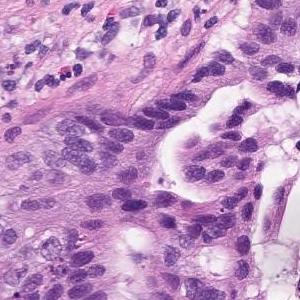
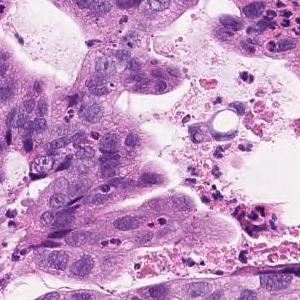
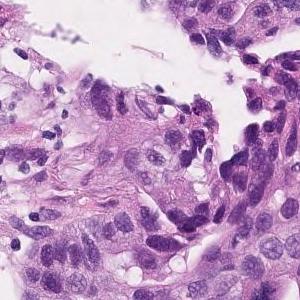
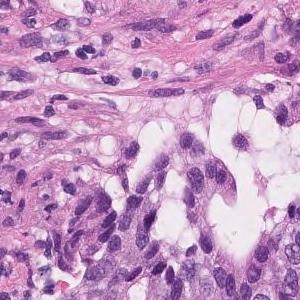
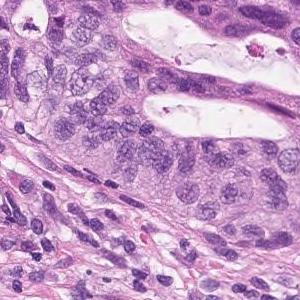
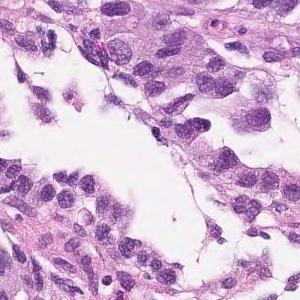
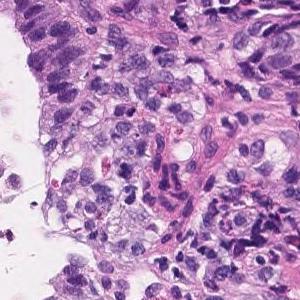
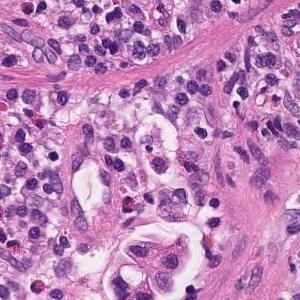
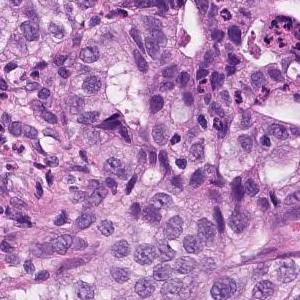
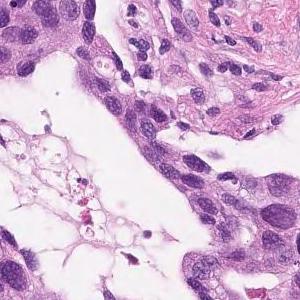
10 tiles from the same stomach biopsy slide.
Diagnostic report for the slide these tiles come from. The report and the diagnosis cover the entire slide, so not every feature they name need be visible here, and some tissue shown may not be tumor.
Atypical epithelium forming papillary or sieving ducts and infiltrating growth is observed. Papillary adenocarcinoma.
